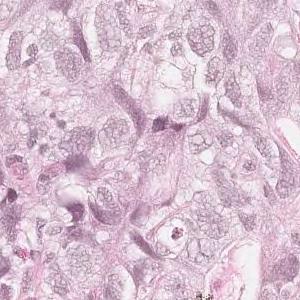
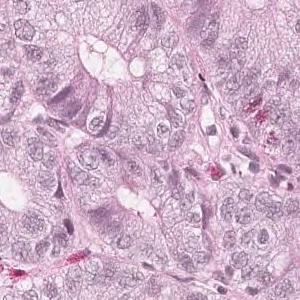
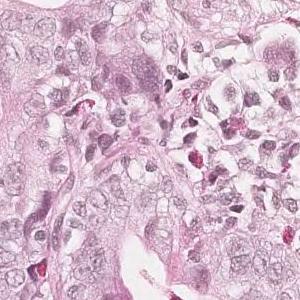
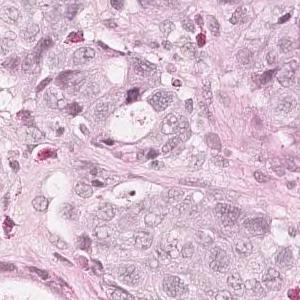
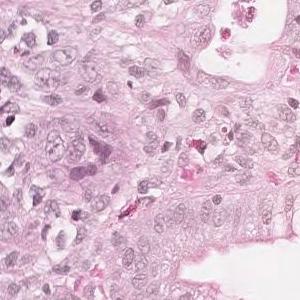
5 tiles cut from one stomach biopsy slide, 300 × 300 pixels each.
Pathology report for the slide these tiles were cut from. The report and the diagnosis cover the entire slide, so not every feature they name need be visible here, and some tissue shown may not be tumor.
Medium to small, irregular glandular ducts are formed in the superficial epithelium, and in some cases, the glandular ducts are fused to show solid alveolar lesions and infiltrating tumor tissue is observed. Moderately to poorly differentiated adenocarcinoma.
